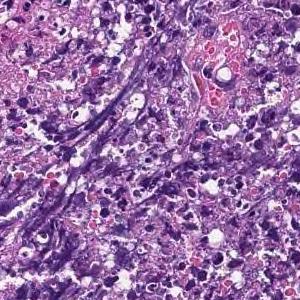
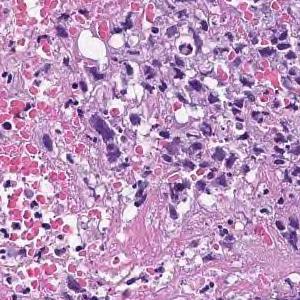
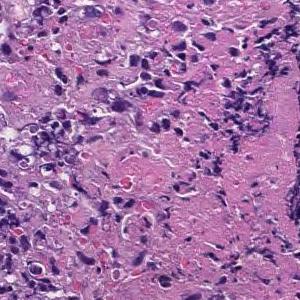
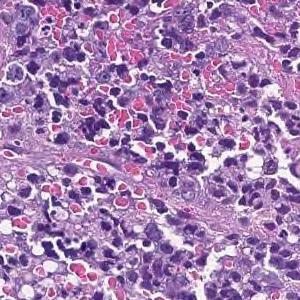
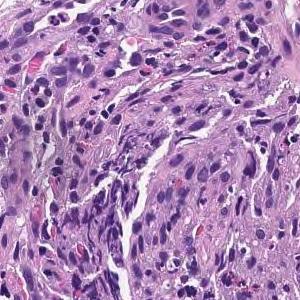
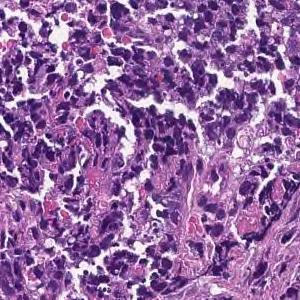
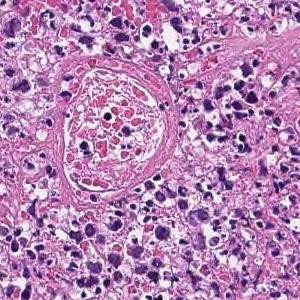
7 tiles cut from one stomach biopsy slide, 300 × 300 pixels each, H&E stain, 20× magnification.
Report on the slide these tiles come from. Both the report and the diagnosis are for the whole slide: these tiles need not show every feature named, and some of the tissue shown may not be tumor.
Most are composed of coagulative necrotic tissue, but some show a large sheet-like shape, and some show tumor tissue infiltrating with a small cord-like structure. Poorly differentiated adenocarcinoma, solid-type
Histological subtype: Poorly differentiated adenocarcinoma, solid type. This name comes from the Japanese Classification of Gastric Carcinoma; the WHO 2019 classification calls it tubular adenocarcinoma, poorly differentiated.
